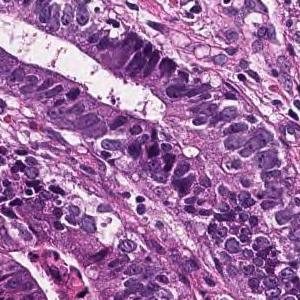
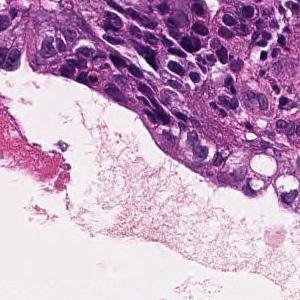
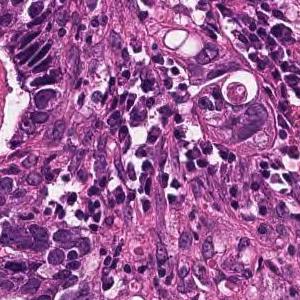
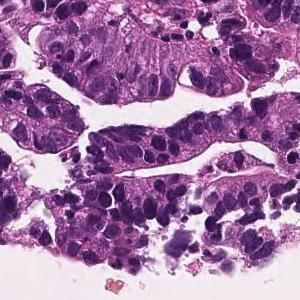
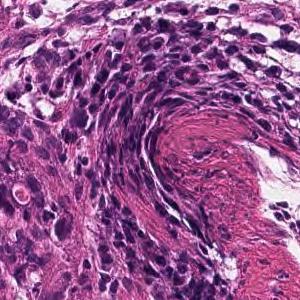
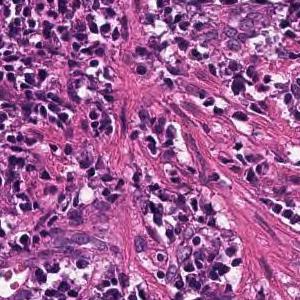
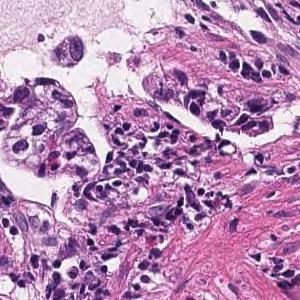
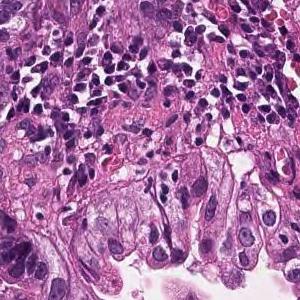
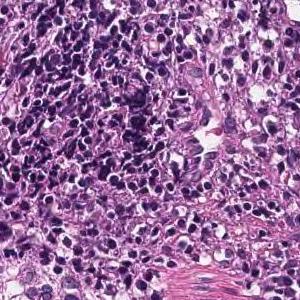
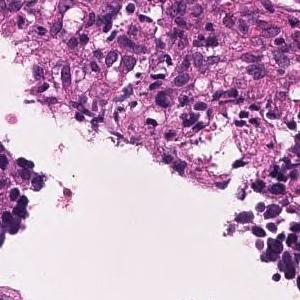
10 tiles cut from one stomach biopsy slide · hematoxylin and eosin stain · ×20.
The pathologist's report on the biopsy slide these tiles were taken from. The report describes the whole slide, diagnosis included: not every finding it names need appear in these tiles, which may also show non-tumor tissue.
From the superficial epithelium to the muscularis mucosae, tumor tissue infiltrating by forming medium-sized irregular gland ducts is observed. Large tumor cells exhibit large nucleus and hyperchromatism. Well differentiated tubular adenocarcinoma
